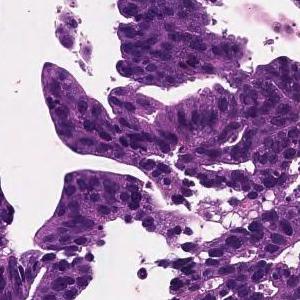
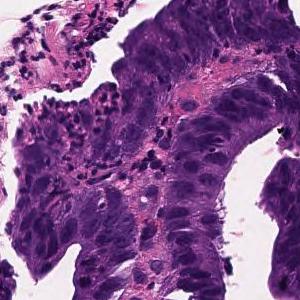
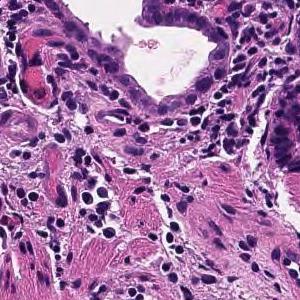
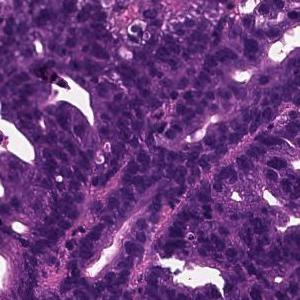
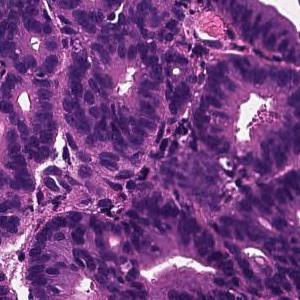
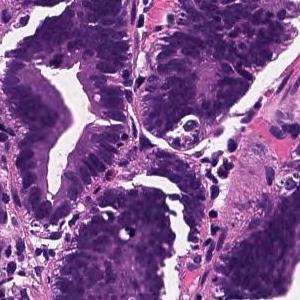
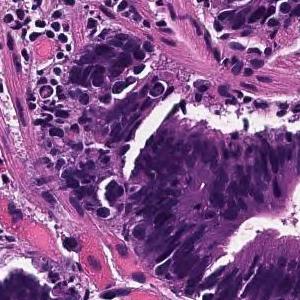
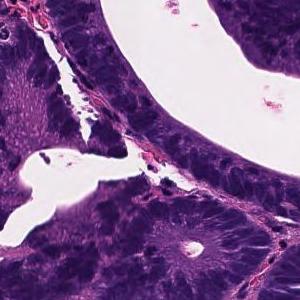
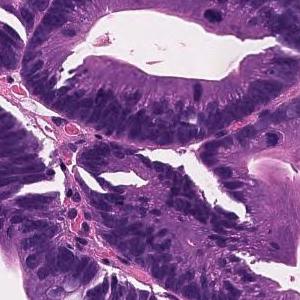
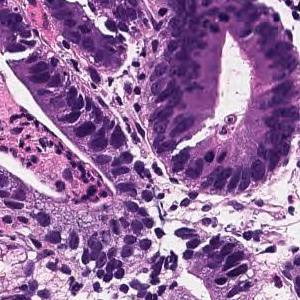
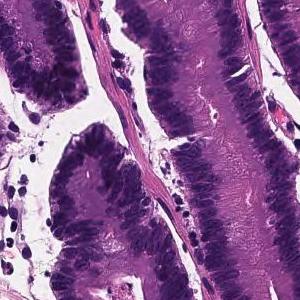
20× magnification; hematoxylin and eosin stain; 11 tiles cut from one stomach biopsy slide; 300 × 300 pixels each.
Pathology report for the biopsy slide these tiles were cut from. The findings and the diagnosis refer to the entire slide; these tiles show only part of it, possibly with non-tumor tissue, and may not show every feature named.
Tumor tissue consisting of large papillary structures is found in the superficial epithelium. Papillary adenocarcinoma.
